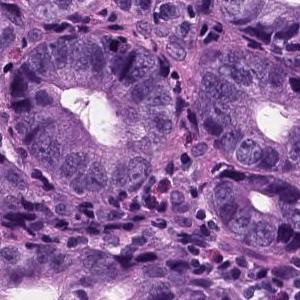
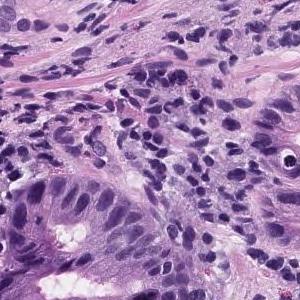
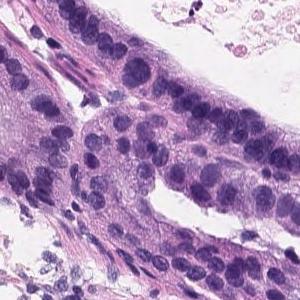
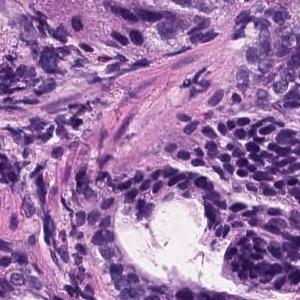
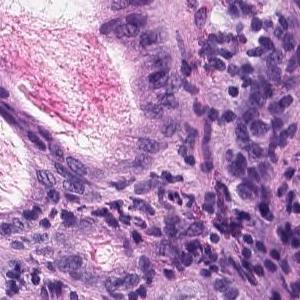
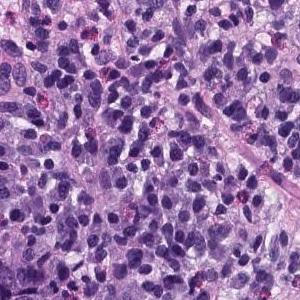
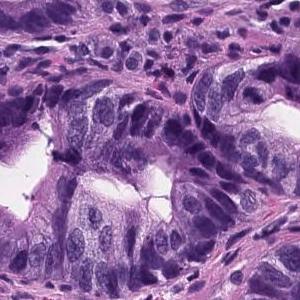
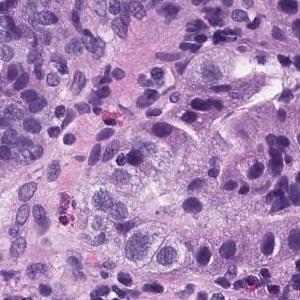
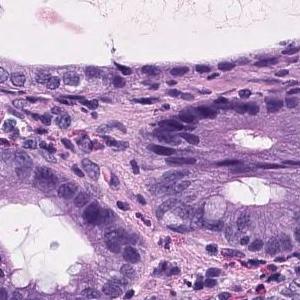
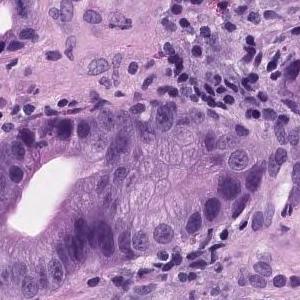
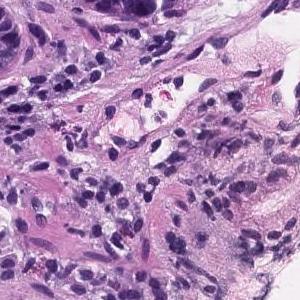
11 tiles cut from one stomach biopsy slide, 300 × 300 pixels each, scanned at ×20, hematoxylin and eosin stain.
Pathology report for the biopsy slide these tiles were cut from. Both the report and the diagnosis are for the whole slide: these tiles need not show every feature named, and some of the tissue shown may not be tumor.
Tumor tissue consisting of medium-sized and irregular ducts is observed infiltrating in the superficial epithelium. Tumor cells are highly columnar, with nuclei aligned basolaterally and polarized. Well differentiated tubular adenocarcinoma.
